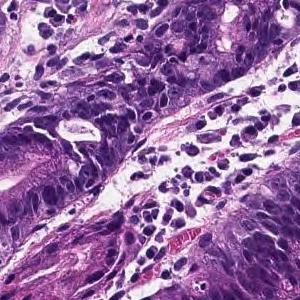
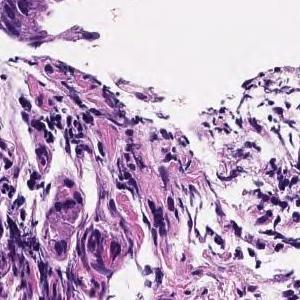
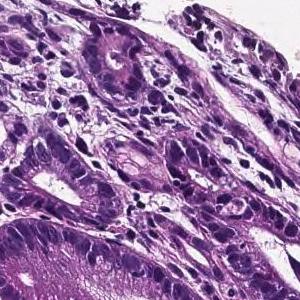
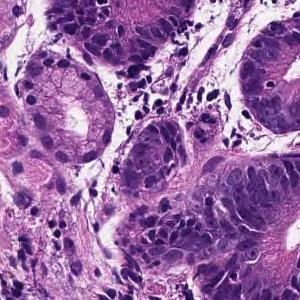
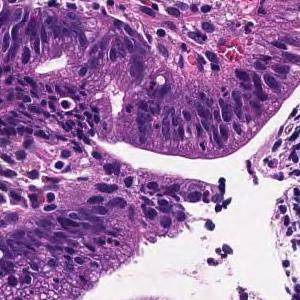
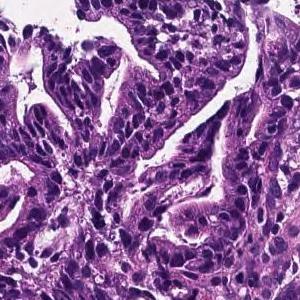
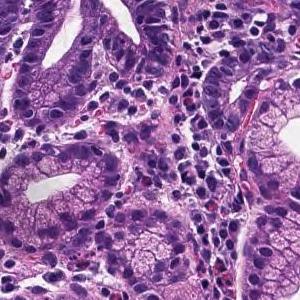
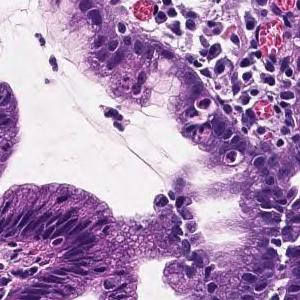
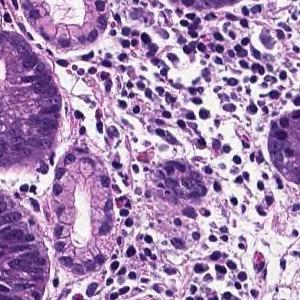
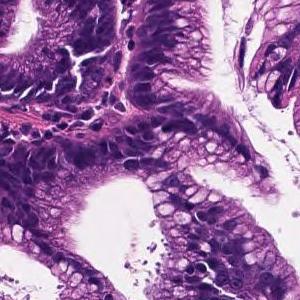
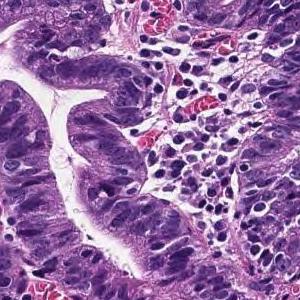
Scanned at ×20; hematoxylin and eosin stain; 11 patches cut from one gastric biopsy slide; 300 × 300 pixels each.
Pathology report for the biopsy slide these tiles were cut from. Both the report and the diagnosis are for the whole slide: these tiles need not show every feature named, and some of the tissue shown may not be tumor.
From the superficial epithelium to the muscularis mucosae, tumor tissue consisting of medium-sized and irregular glandular ducts infiltrating is observed. Well differentiated tubular adenocarcinoma
